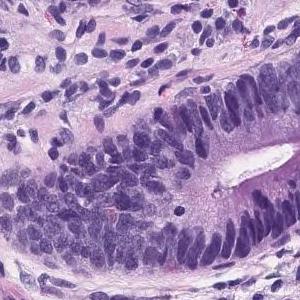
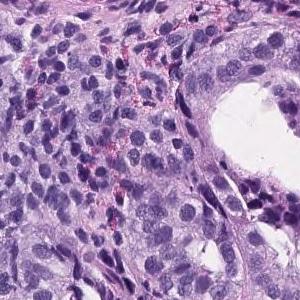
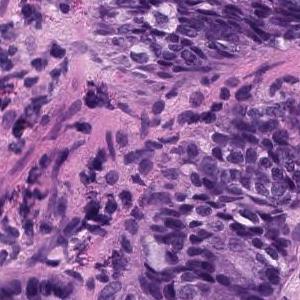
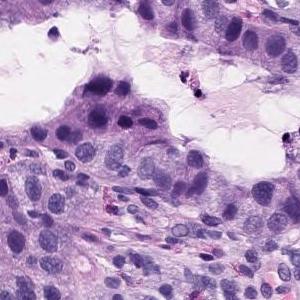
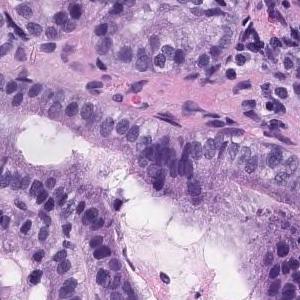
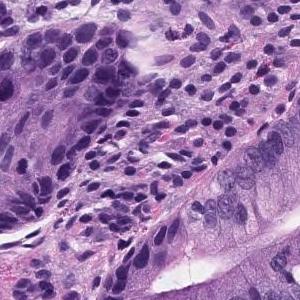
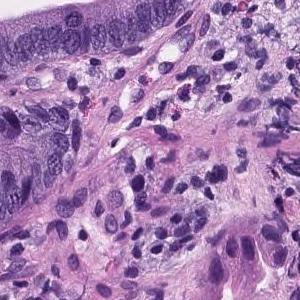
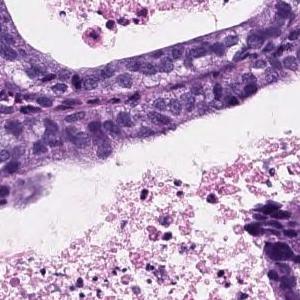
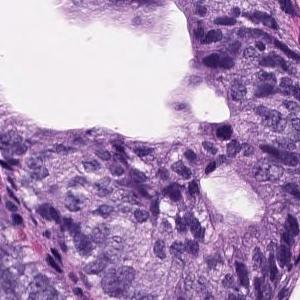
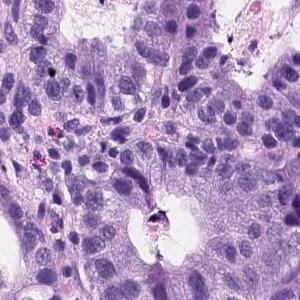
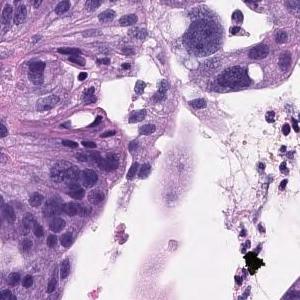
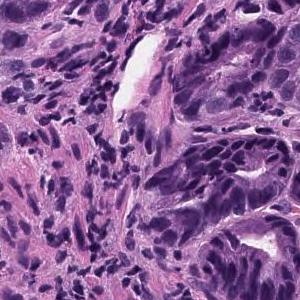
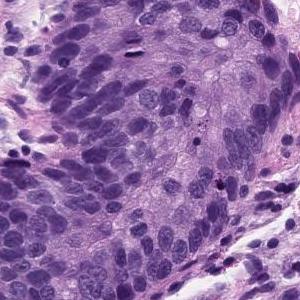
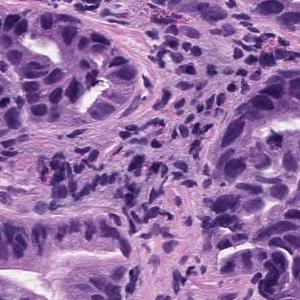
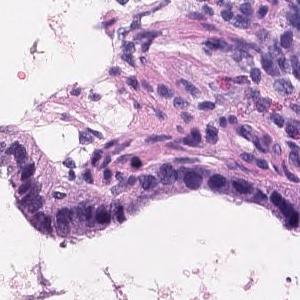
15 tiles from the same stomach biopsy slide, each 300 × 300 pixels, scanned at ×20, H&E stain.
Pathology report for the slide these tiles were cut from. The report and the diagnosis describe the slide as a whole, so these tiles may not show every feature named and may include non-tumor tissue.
Tumor tissue consisting of medium-sized and irregular ducts is observed infiltrating in the superficial epithelium. Tumor cells are highly columnar, with nuclei aligned basolaterally and polarized. Well differentiated tubular adenocarcinoma.
